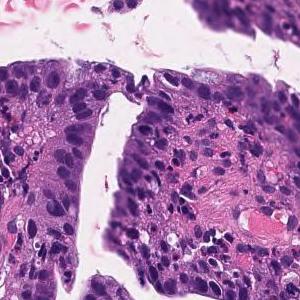
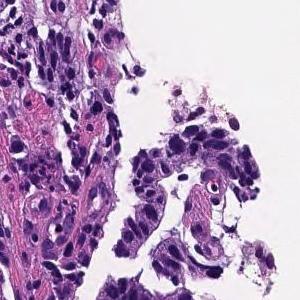
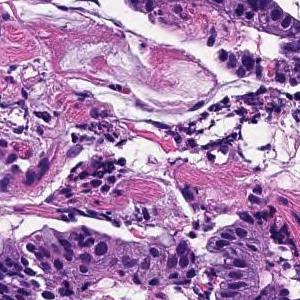
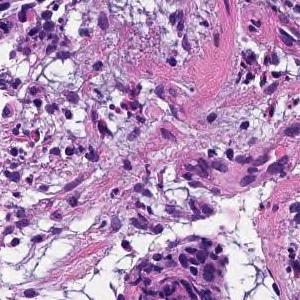
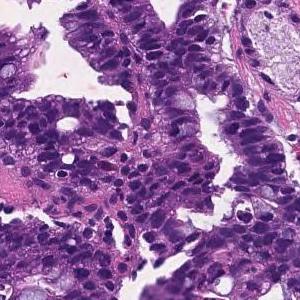
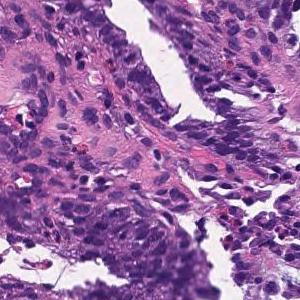
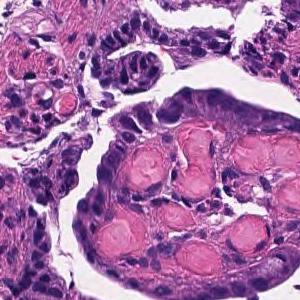
H&E stain; 20× magnification; 7 image tiles from a single gastric biopsy slide; 300 × 300 pixels each.
Diagnostic report for the slide these tiles come from. The report and the diagnosis describe the slide as a whole, so these tiles may not show every feature named and may include non-tumor tissue.
Tumor cells are large, highly columnar, large club-shaped nuclei, and are associated with chromatin aggregation. Papillary adenocarcinoma.
